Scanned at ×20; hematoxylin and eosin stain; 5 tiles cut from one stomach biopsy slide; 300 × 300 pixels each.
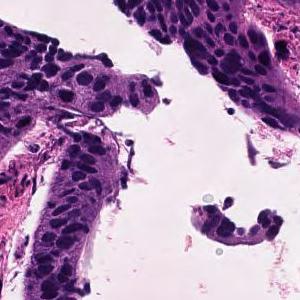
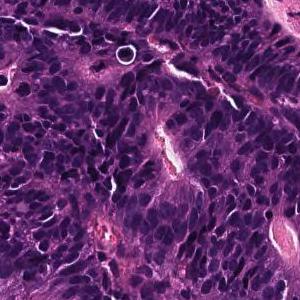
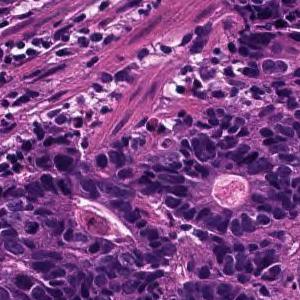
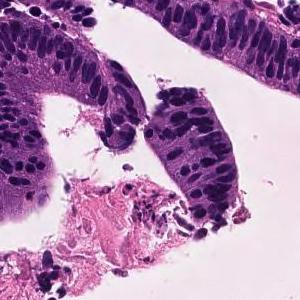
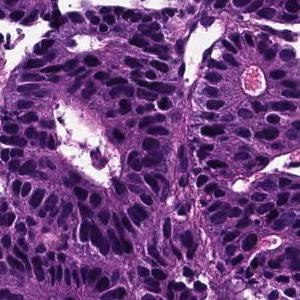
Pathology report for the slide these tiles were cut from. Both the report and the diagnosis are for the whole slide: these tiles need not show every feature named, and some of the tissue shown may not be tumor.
In the superficial epithelium, tumor tissue that invades by forming medium-sized to small, irregular ducts is observed. moderately differentiated tubular adenocarcinoma.
